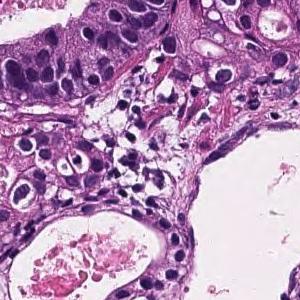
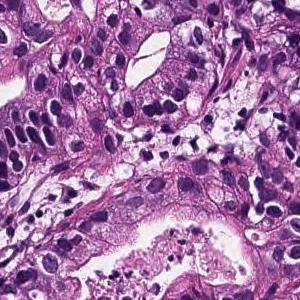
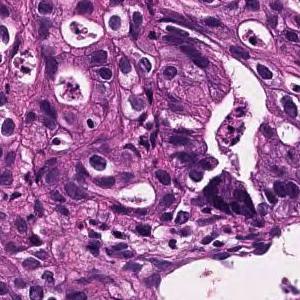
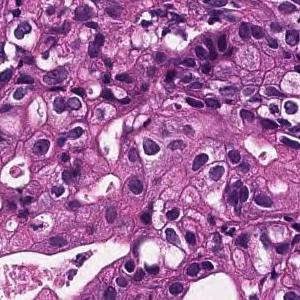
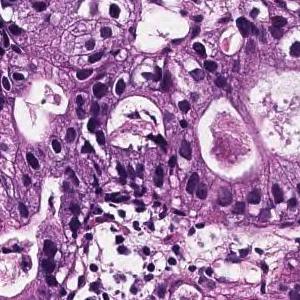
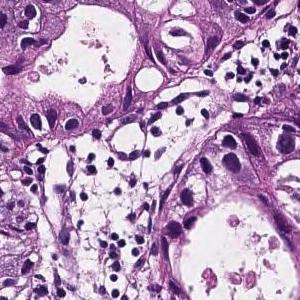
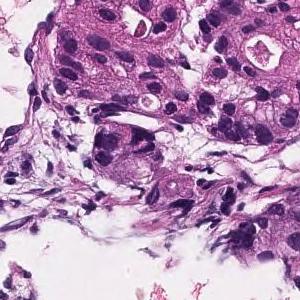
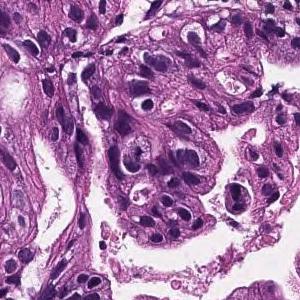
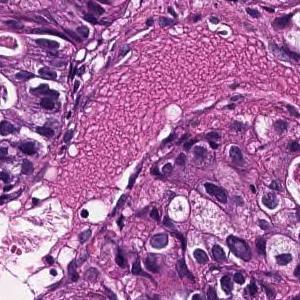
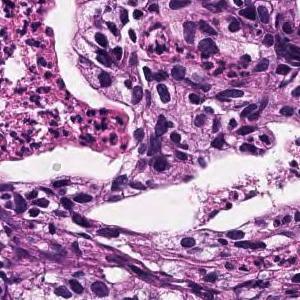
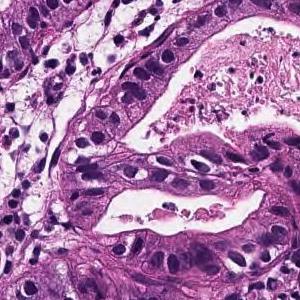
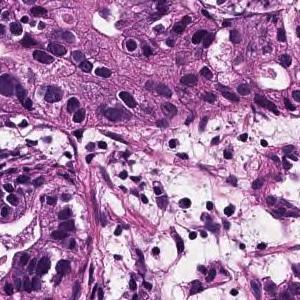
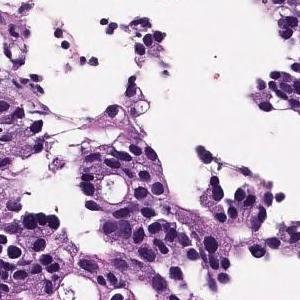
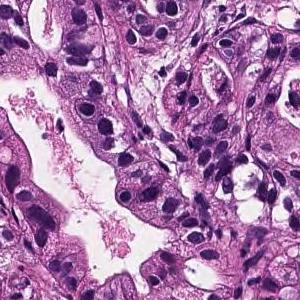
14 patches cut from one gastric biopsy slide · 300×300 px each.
The pathologist's report on the biopsy slide these tiles were taken from. The report and the diagnosis describe the slide as a whole, so these tiles may not show every feature named and may include non-tumor tissue.
From the superficial epithelium to the muscularis mucosae, tumor tissue infiltrating by forming medium-sized irregular gland ducts is observed. Large tumor cells exhibit large nucleus and hyperchromatism. Well differentiated tubular adenocarcinoma
